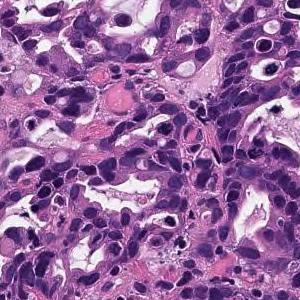
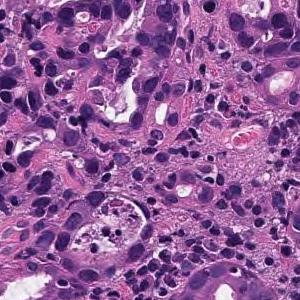
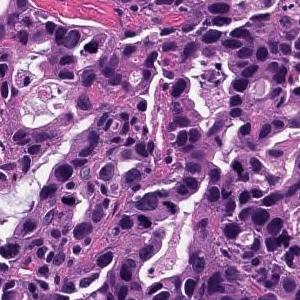
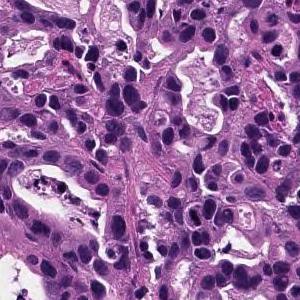
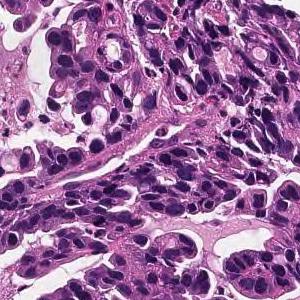
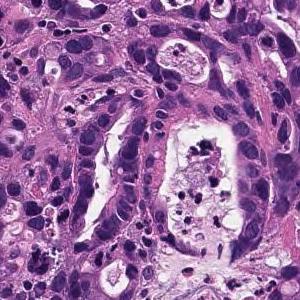
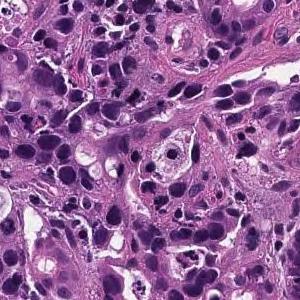
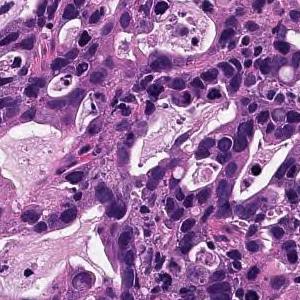
8 image tiles from a single gastric biopsy slide; each 300 × 300 pixels; scanned at ×20.
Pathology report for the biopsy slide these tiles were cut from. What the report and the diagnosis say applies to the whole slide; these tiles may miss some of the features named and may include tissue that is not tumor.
In the superficial epithelium, tumor tissue that invades by forming medium-sized to small, irregular ducts is observed. moderately differentiated tubular adenocarcinoma.
